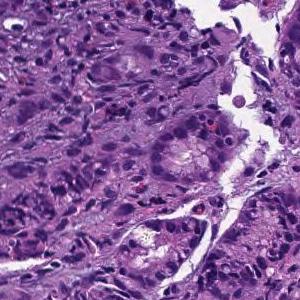
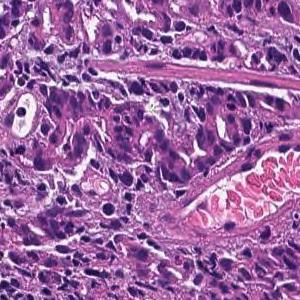
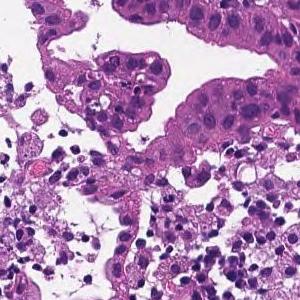
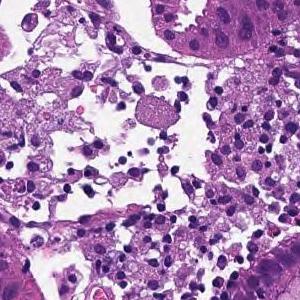
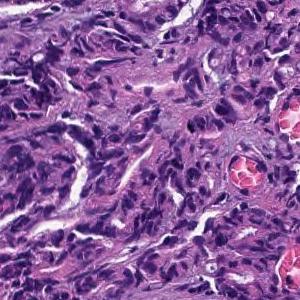
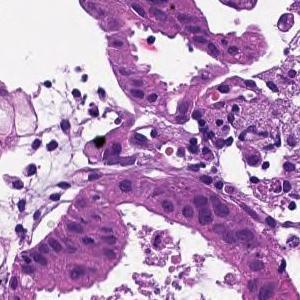
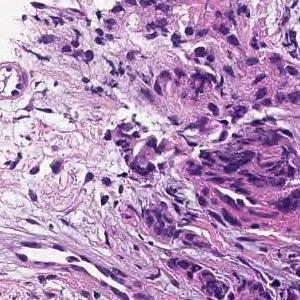
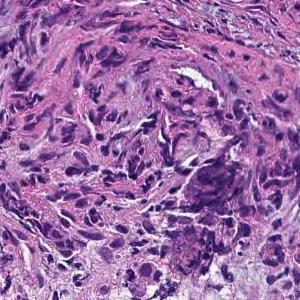
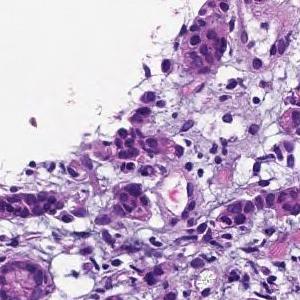
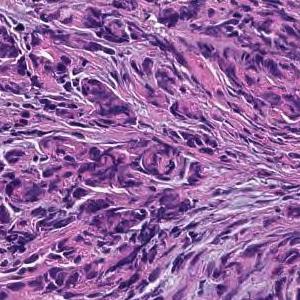
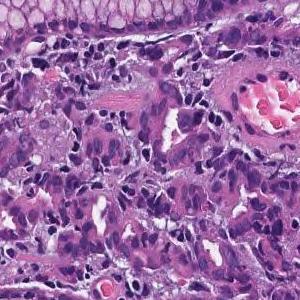
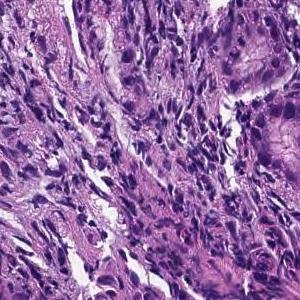
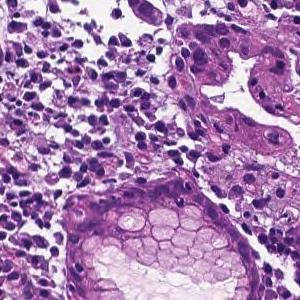
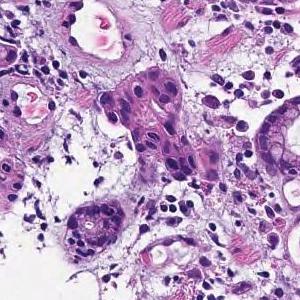
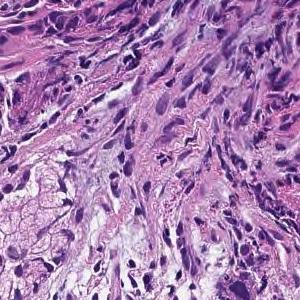
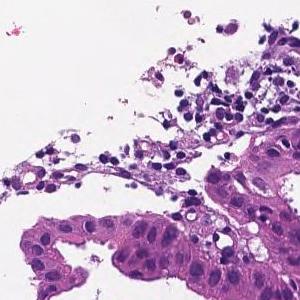
×20; H&E; 16 image tiles from a single gastric biopsy slide; 300×300 px each.
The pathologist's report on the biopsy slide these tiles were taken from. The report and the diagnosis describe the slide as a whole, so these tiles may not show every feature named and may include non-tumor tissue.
Tumor tissue consisting of medium-sized, cord-like or irregular glandular infiltration is observed in the superficial epithelium. Poorly differentiated adenocarcinoma, non-solid type or moderately differentiated tubular adenocarcinoma
Classified as moderately to poorly differentiated adenocarcinoma.
The non-solid type named here is a Japanese Classification of Gastric Carcinoma category.
